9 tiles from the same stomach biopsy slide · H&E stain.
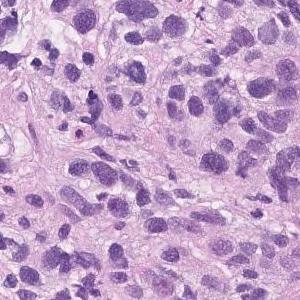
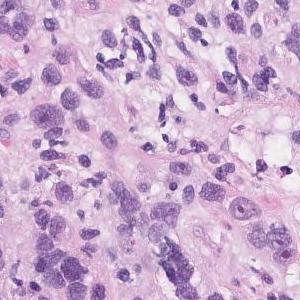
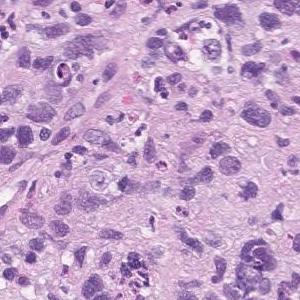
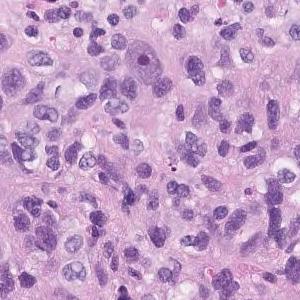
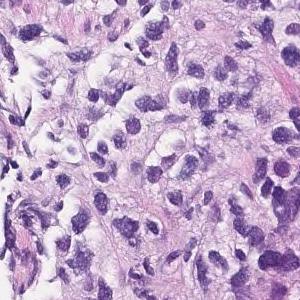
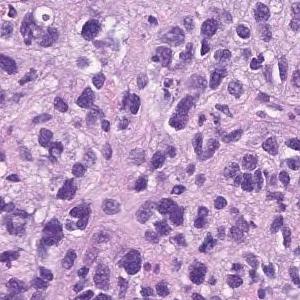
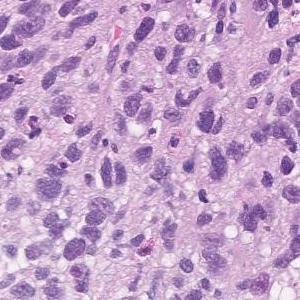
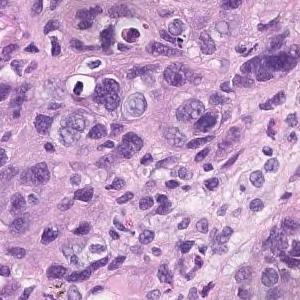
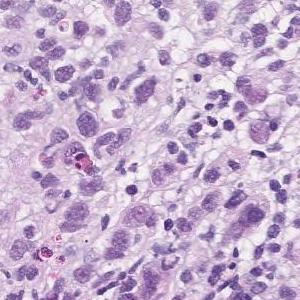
Report on the slide these tiles come from. The report and the diagnosis cover the entire slide, so not every feature they name need be visible here, and some tissue shown may not be tumor.
Atypical l cells with atypical nuclei under the mucosa growing in isolation and scattered. Poorly differentiated adenocarcinoma (poorly differentiated adenocarcinoma, non-solid type)
Classified as poorly differentiated adenocarcinoma, non-solid type.
"Non-solid type" is a category of the Japanese Classification of Gastric Carcinoma.
